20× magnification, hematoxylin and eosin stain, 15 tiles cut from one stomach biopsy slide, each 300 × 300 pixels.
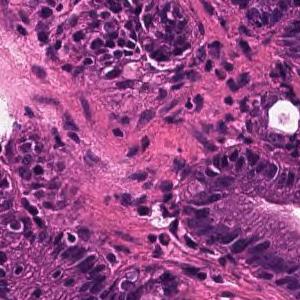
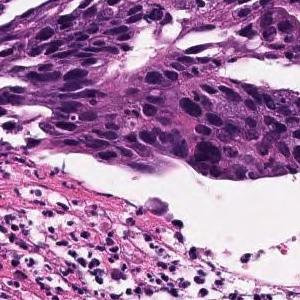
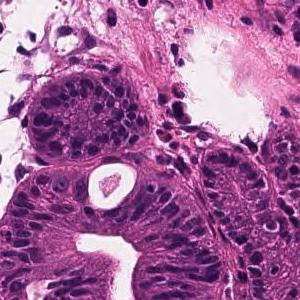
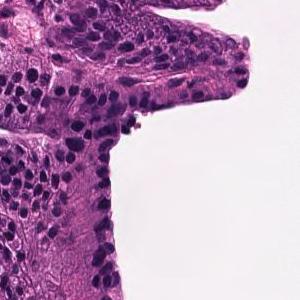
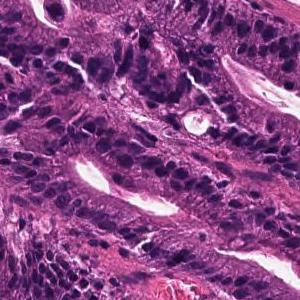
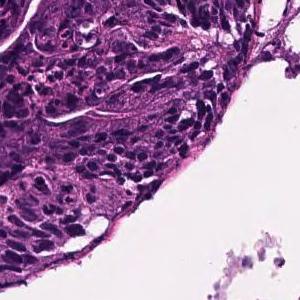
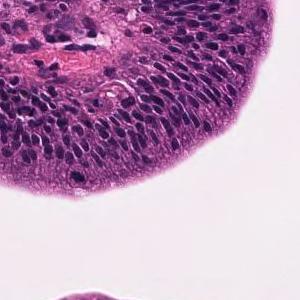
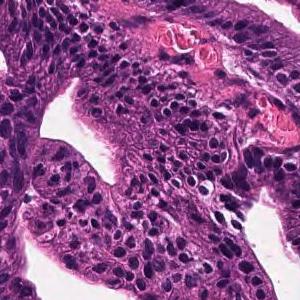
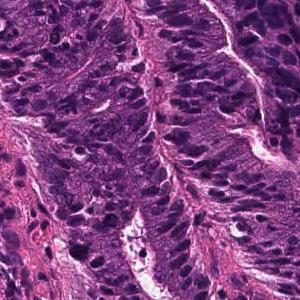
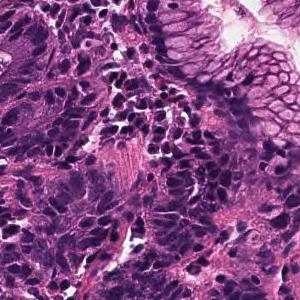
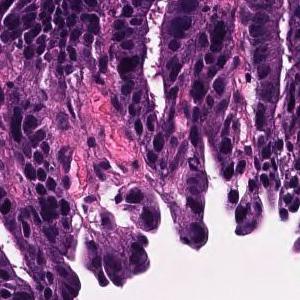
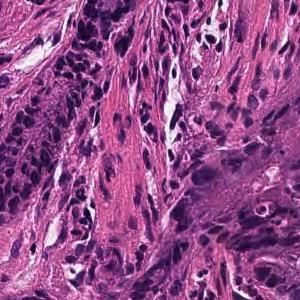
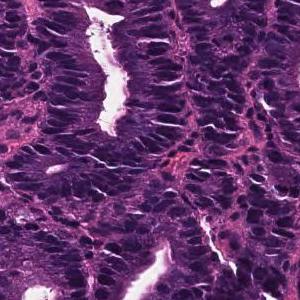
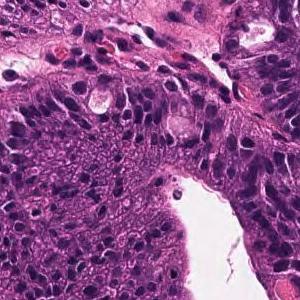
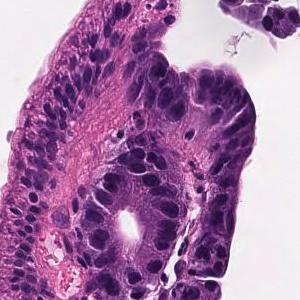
The pathologist's report on the biopsy slide these tiles were taken from. What the report and the diagnosis say applies to the whole slide; these tiles may miss some of the features named and may include tissue that is not tumor.
Tumor tissue that remains within the superficial epithelium and is infiltrated by large papillary or irregular ducts that fuse with each other is observed. Well differentiated tubular adenocarcinoma
